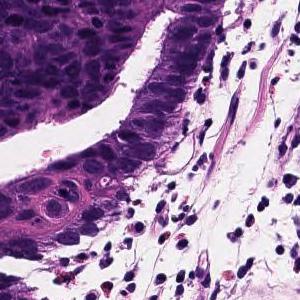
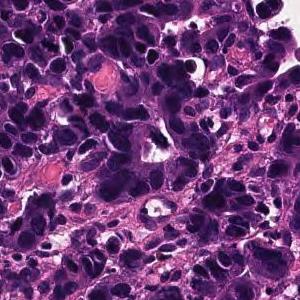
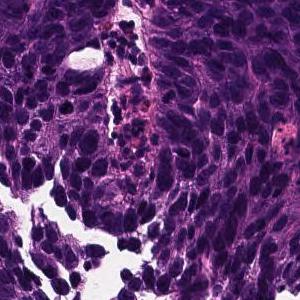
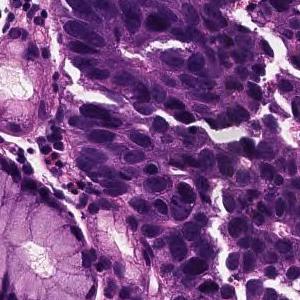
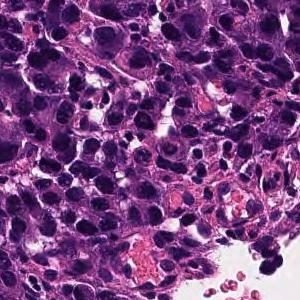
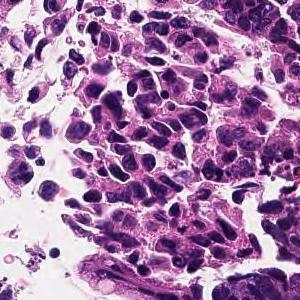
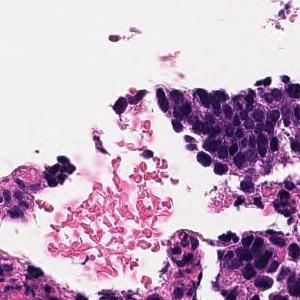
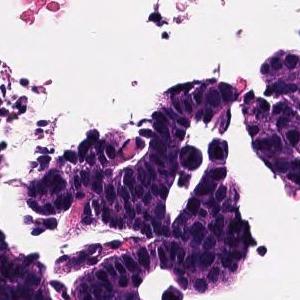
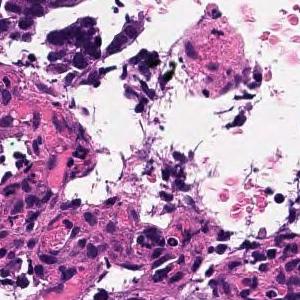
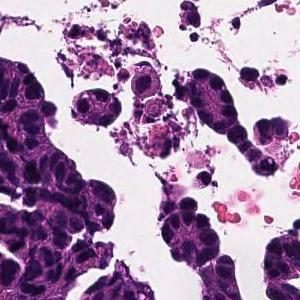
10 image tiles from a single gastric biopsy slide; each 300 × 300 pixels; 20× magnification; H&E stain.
Report on the slide these tiles come from. What the report and the diagnosis say applies to the whole slide; these tiles may miss some of the features named and may include tissue that is not tumor.
In the superficial epithelium, tumor tissue that invades by forming medium-sized to small, irregular ducts is observed. moderately differentiated tubular adenocarcinoma.
